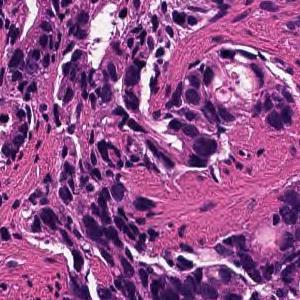
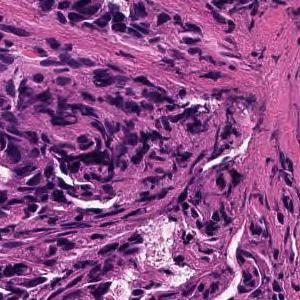
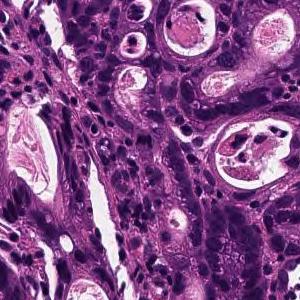
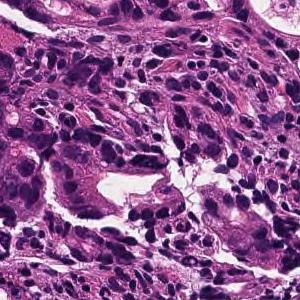
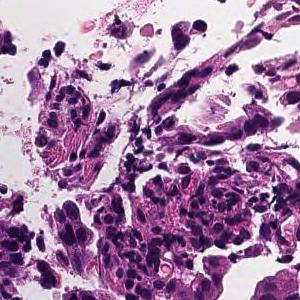
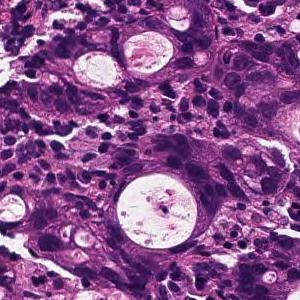
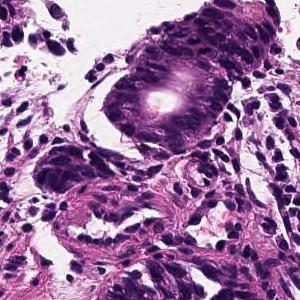
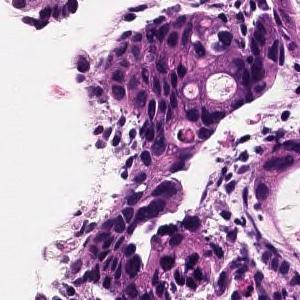
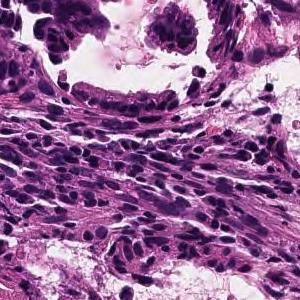
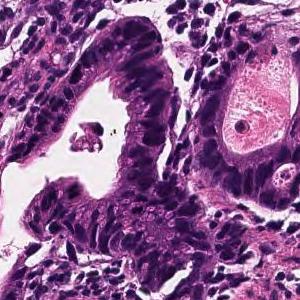
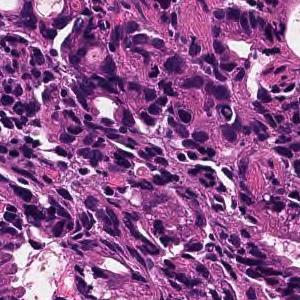
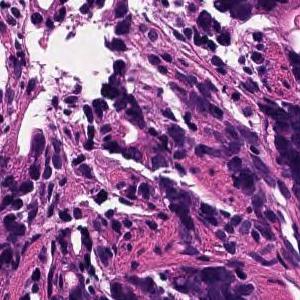
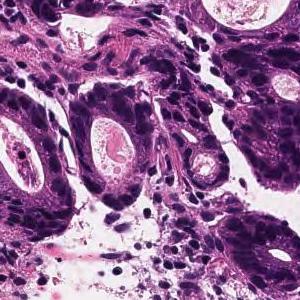
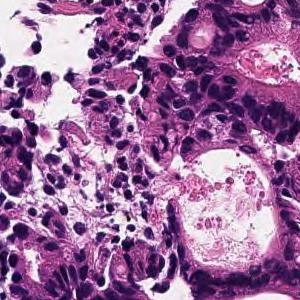
14 tiles cut from one stomach biopsy slide; 300 × 300 pixels each; scanned at ×20.
Report on the slide these tiles come from. The report and the diagnosis describe the slide as a whole, so these tiles may not show every feature named and may include non-tumor tissue.
In the superficial epithelium, tumor tissue that invades by forming medium-sized to small, irregular ducts is observed. moderately differentiated tubular adenocarcinoma.
